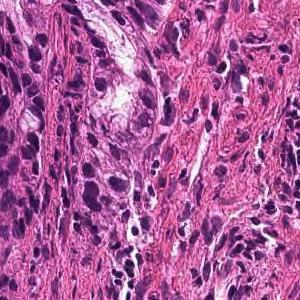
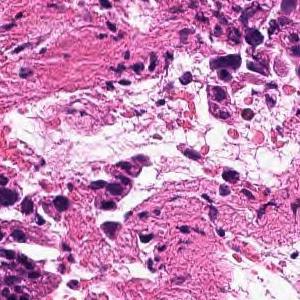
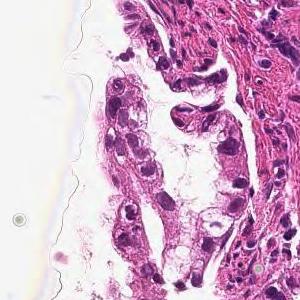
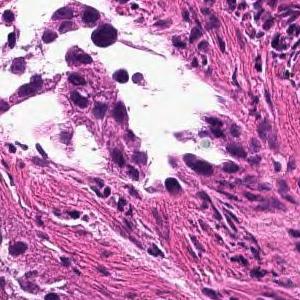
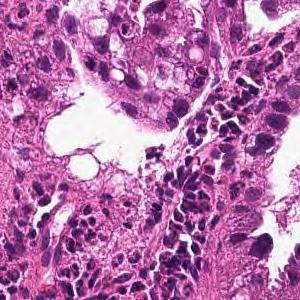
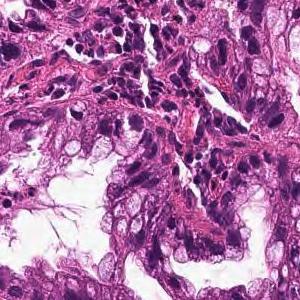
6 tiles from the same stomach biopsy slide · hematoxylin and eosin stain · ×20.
The pathologist's report on the biopsy slide these tiles were taken from. Both the report and the diagnosis are for the whole slide: these tiles need not show every feature named, and some of the tissue shown may not be tumor.
From the superficial epithelium to the muscularis mucosae, tumor tissue infiltrating by forming medium-sized irregular gland ducts is observed. Well differentiated tubular adenocarcinoma
